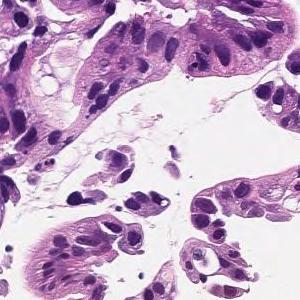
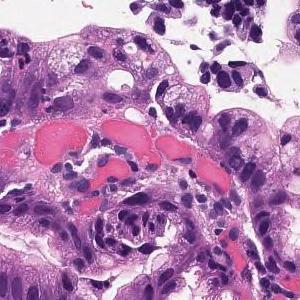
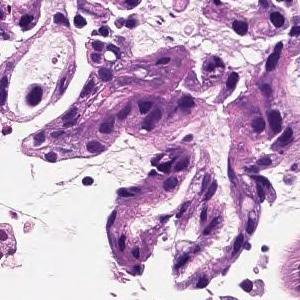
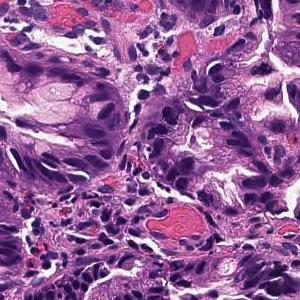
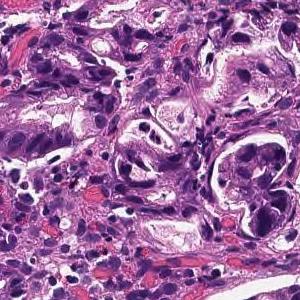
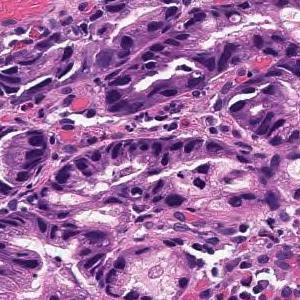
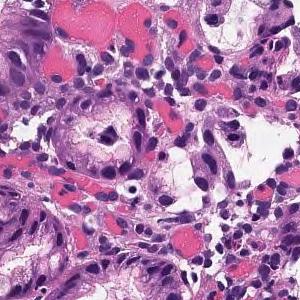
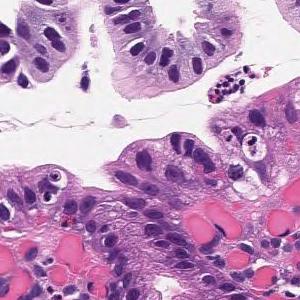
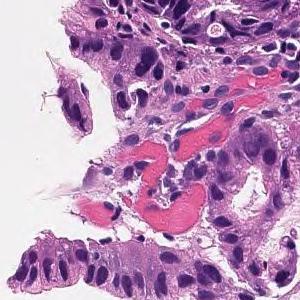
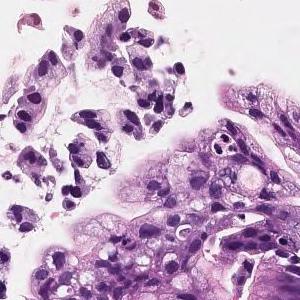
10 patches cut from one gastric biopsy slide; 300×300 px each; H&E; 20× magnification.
Pathology report for the biopsy slide these tiles were cut from. What the report and the diagnosis say applies to the whole slide; these tiles may miss some of the features named and may include tissue that is not tumor.
In the superficial epithelium, tumor tissue that invades by forming medium-sized to small, irregular ducts is observed. moderately differentiated tubular adenocarcinoma.
